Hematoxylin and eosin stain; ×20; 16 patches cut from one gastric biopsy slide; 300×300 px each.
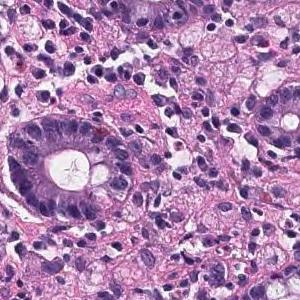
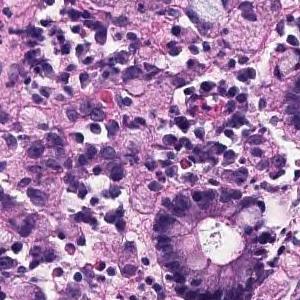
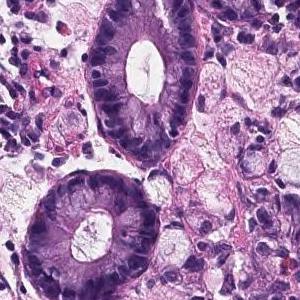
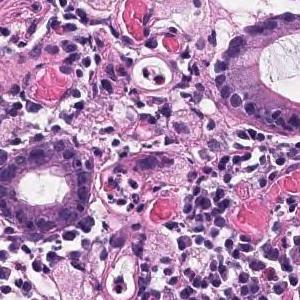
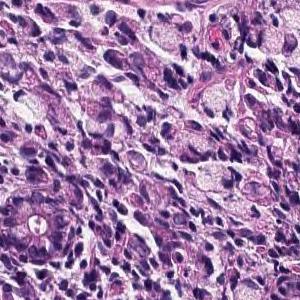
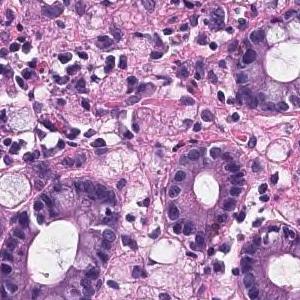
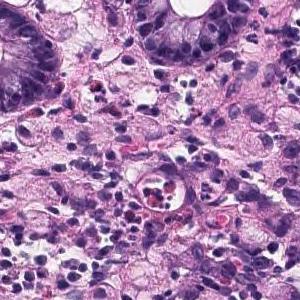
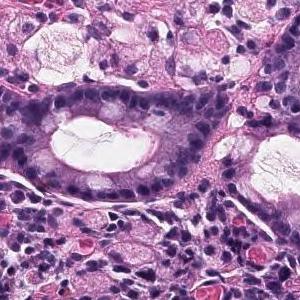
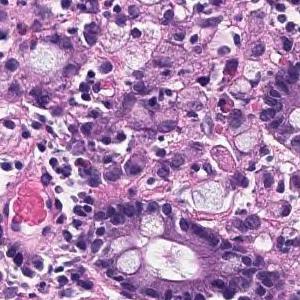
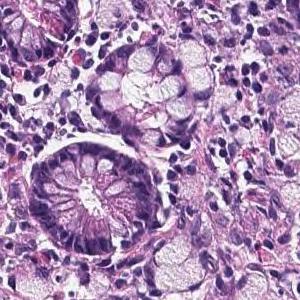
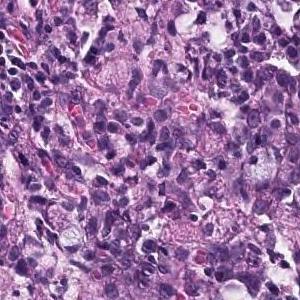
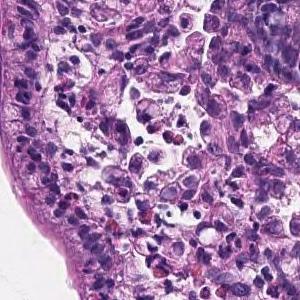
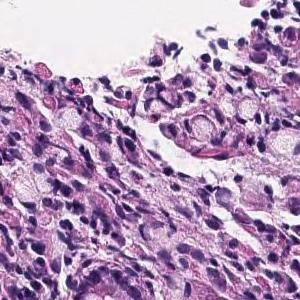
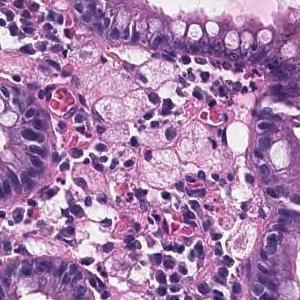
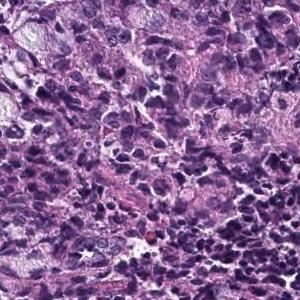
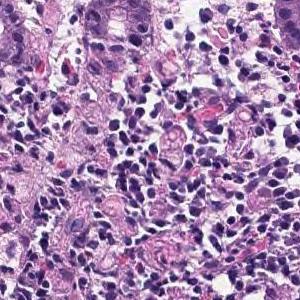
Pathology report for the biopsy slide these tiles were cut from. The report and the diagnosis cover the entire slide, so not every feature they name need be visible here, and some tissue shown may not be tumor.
A tumor tissue consisting of signet ring cell carcinoma cells is observed in the lamina propria. Signet ring cell carcinoma.
